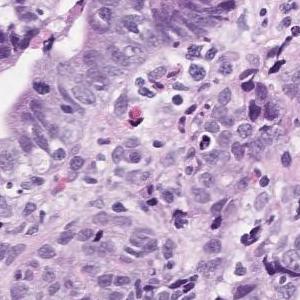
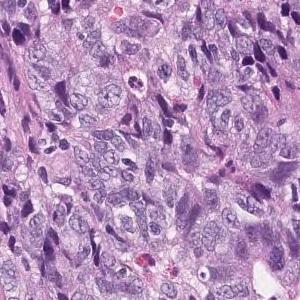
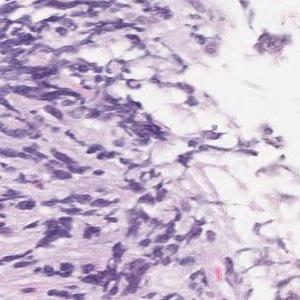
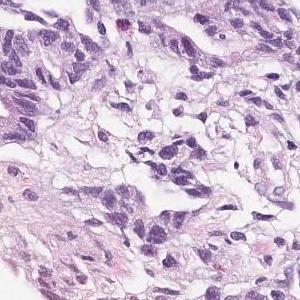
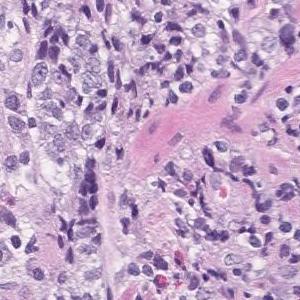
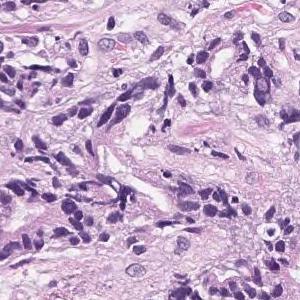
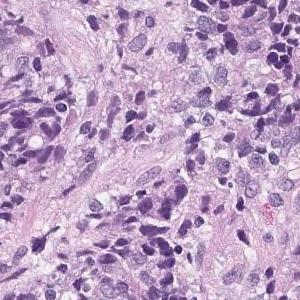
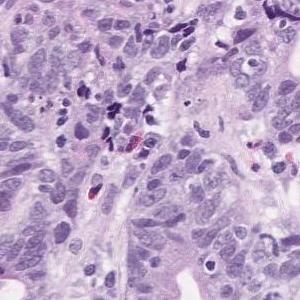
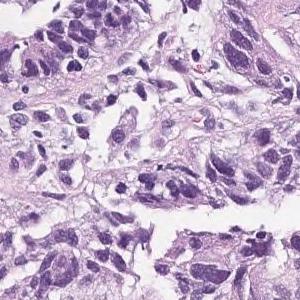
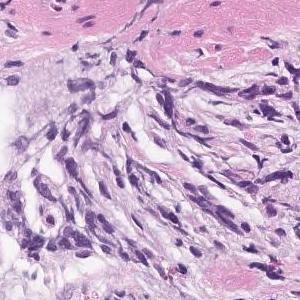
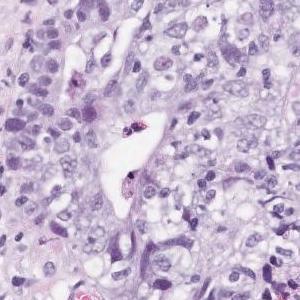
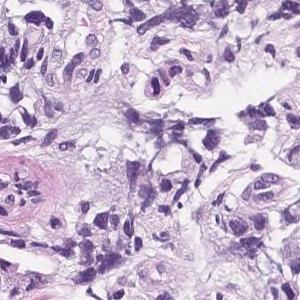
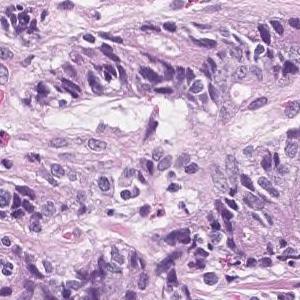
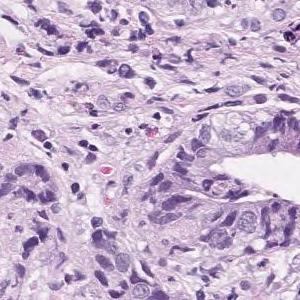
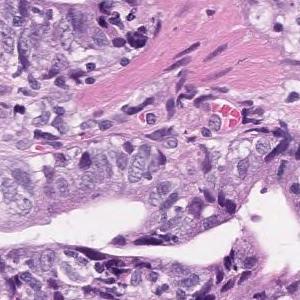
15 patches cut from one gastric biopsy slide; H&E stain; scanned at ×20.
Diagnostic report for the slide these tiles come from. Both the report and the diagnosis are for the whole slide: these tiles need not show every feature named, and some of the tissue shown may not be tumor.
Highly columnar epithelium with disordered nuclear localization proliferates showing fusion ductal construction. moderately differentiated tubular adenocarcinoma
